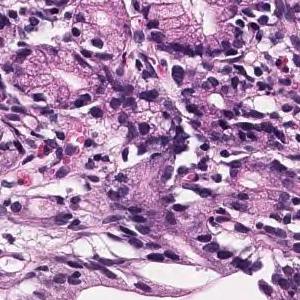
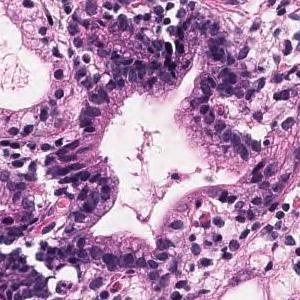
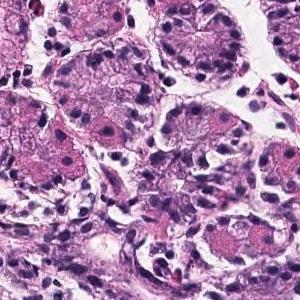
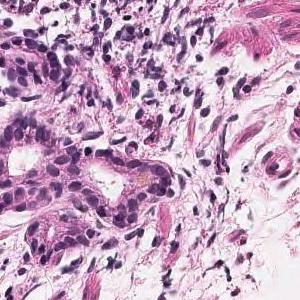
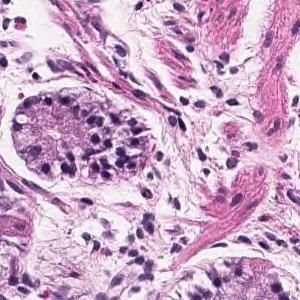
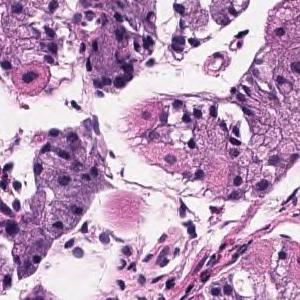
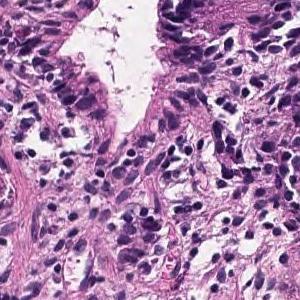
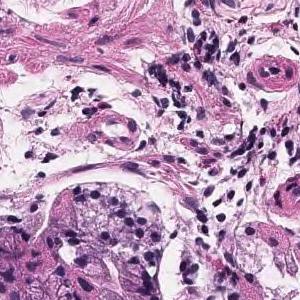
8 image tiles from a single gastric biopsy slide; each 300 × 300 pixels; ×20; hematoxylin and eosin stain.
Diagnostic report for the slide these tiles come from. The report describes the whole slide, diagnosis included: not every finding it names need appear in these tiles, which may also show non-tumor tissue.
Tumor tissue that grows and grows is observed, showing a medium-sized round or irregular duct. moderately differentiated tubular adenocarcinoma
